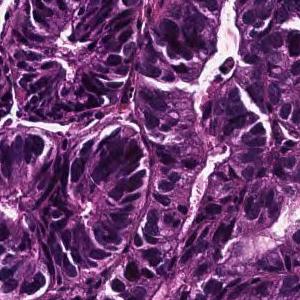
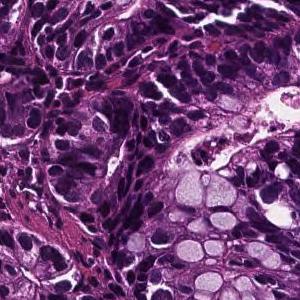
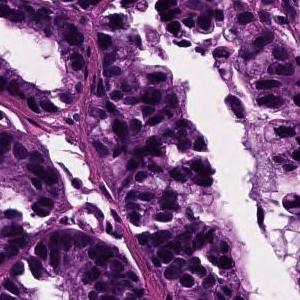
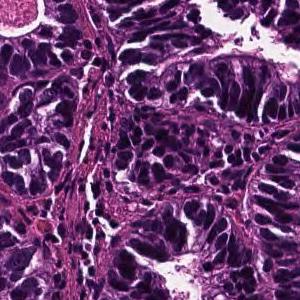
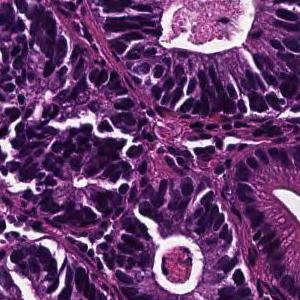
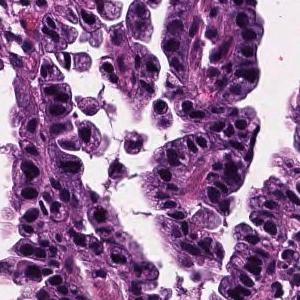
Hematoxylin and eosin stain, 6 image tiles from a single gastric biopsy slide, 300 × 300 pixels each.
Pathology report for the biopsy slide these tiles were cut from. What the report and the diagnosis say applies to the whole slide; these tiles may miss some of the features named and may include tissue that is not tumor.
In the superficial epithelium, tumor tissue that invades by forming medium-sized to small, irregular ducts is observed. Well differentiated tubular adenocarcinoma.
